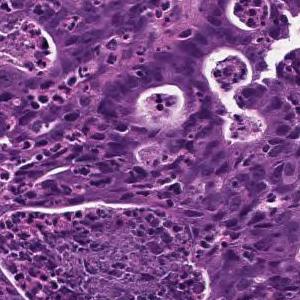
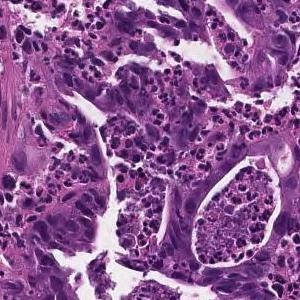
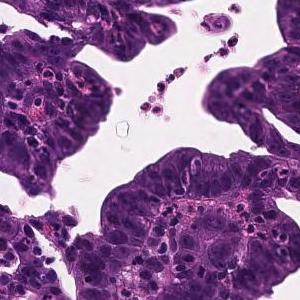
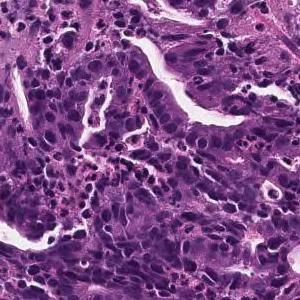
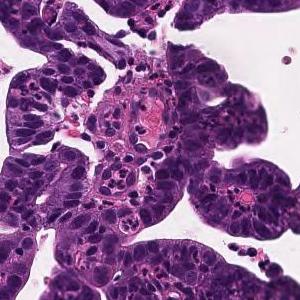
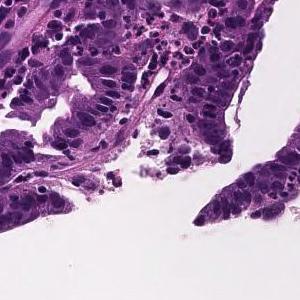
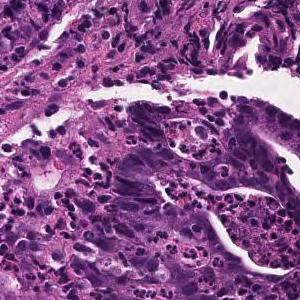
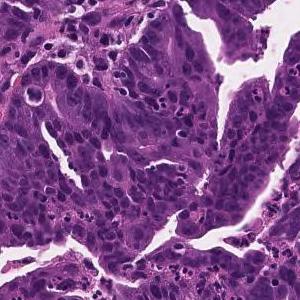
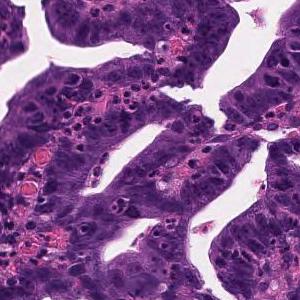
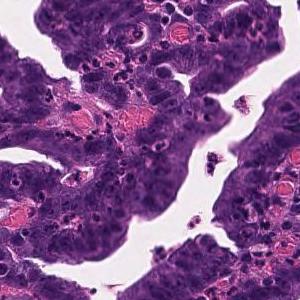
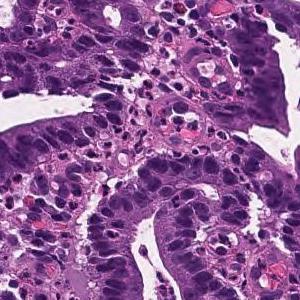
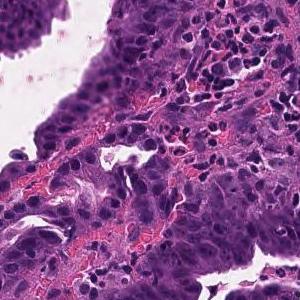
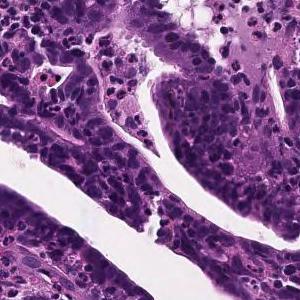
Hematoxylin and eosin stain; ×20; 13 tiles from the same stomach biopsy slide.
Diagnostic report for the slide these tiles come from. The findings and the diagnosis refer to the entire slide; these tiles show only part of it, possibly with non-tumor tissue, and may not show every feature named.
Tumor cells are large, highly columnar, large club-shaped nuclei, and are associated with chromatin aggregation. Papillary adenocarcinoma.
